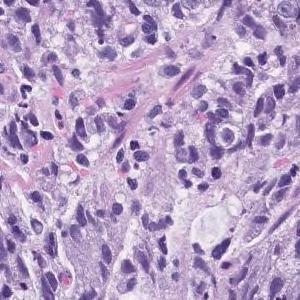
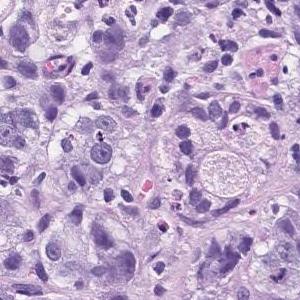
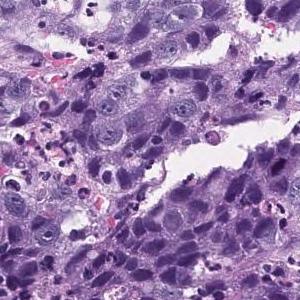
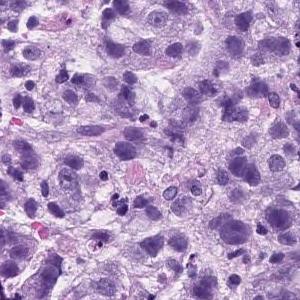
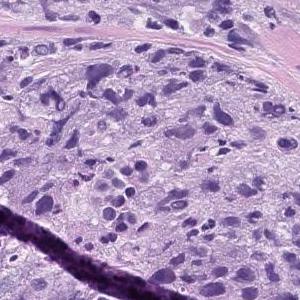
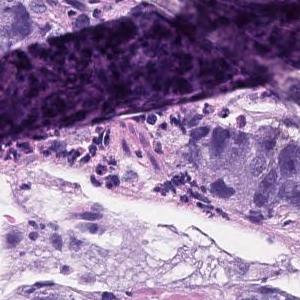
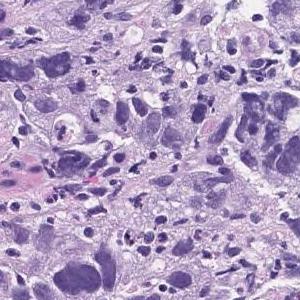
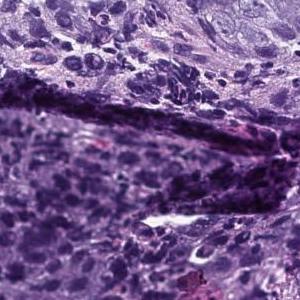
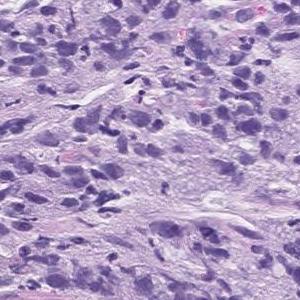
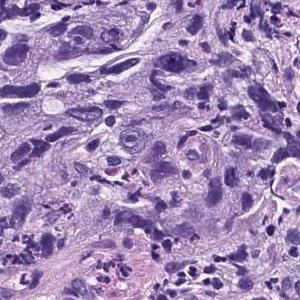
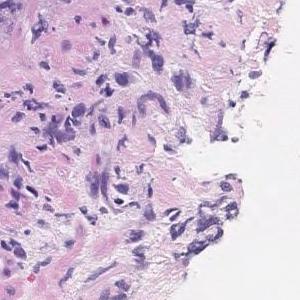
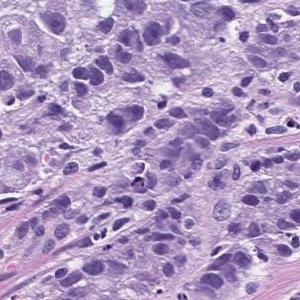
12 image tiles from a single gastric biopsy slide; hematoxylin and eosin stain; scanned at ×20.
Pathology report for the biopsy slide these tiles were cut from. The findings and the diagnosis refer to the entire slide; these tiles show only part of it, possibly with non-tumor tissue, and may not show every feature named.
Atypical l cells with atypical nuclei forming solid vesicles or small irregular atypical ducts that proliferate in a complex manner. poorly differentiated adenocarcinoma, solid type, moderately differentiated tubular adenocarcinoma
"Solid type" is a category of the Japanese Classification of Gastric Carcinoma; in the WHO 2019 classification it is tubular adenocarcinoma, poorly differentiated.
